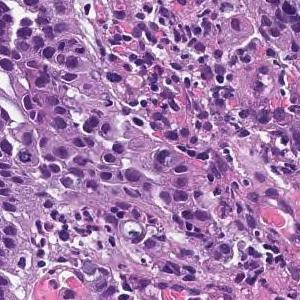
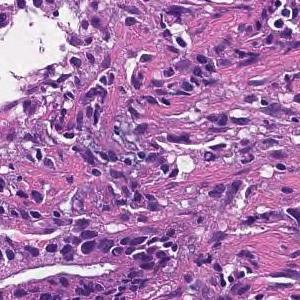
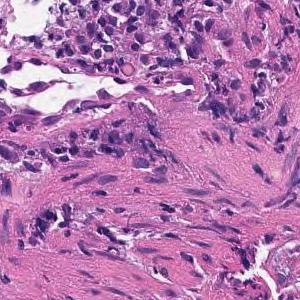
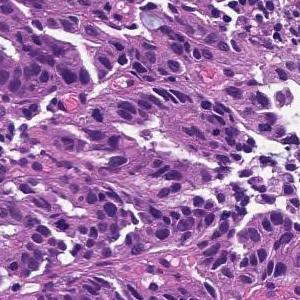
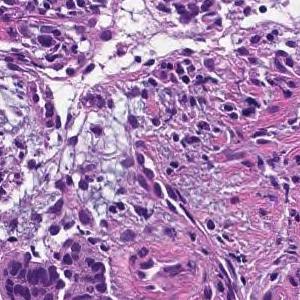
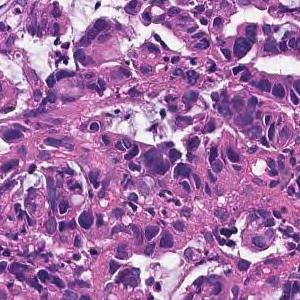
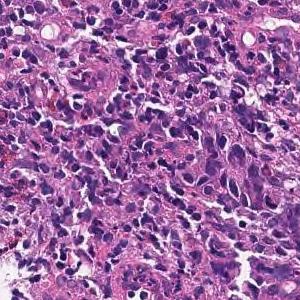
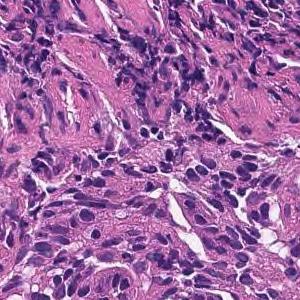
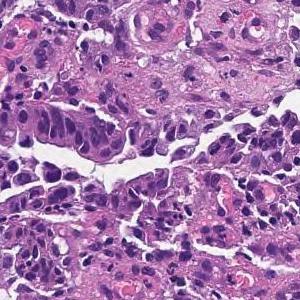
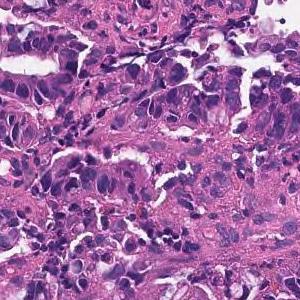
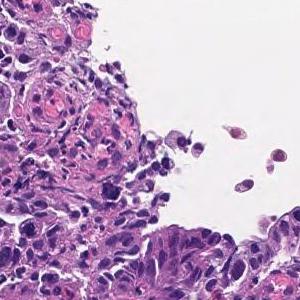
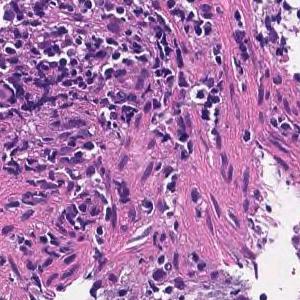
12 image tiles from a single gastric biopsy slide · 300 × 300 pixels each · scanned at ×20.
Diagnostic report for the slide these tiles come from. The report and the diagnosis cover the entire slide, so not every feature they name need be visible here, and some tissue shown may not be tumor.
On the superficial epithelium, tumor tissue consisting of large, irregular glandular ducts partially fused and infiltrated is observed. Well to moderately differentiated tubular adenocarcinoma (well differentiated tubular adenocarcinoma, moderately differentiated tubular adenocarcinoma)
Subtype: Well to moderately differentiated tubular adenocarcinoma.
